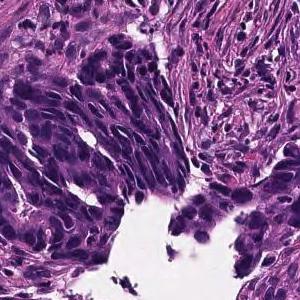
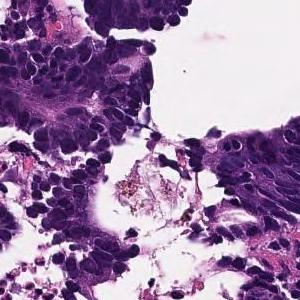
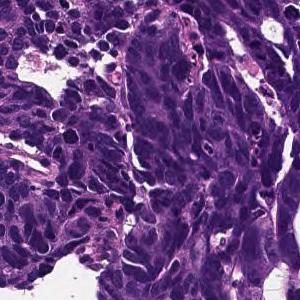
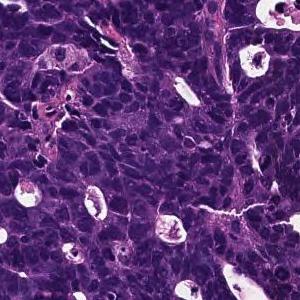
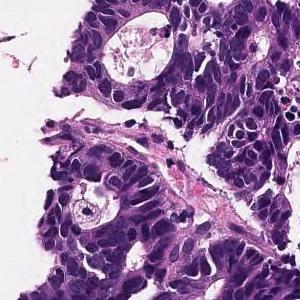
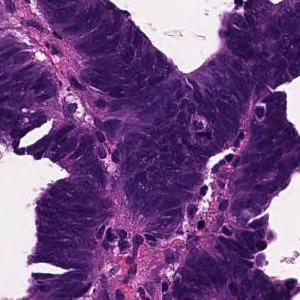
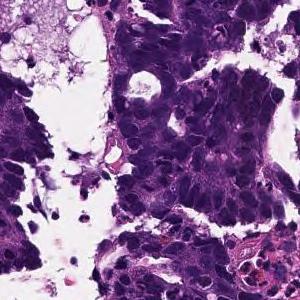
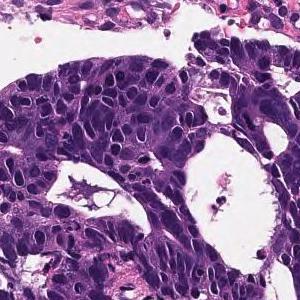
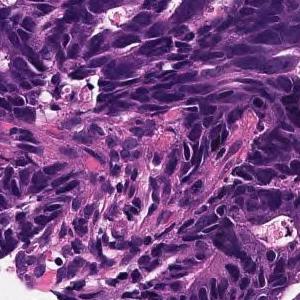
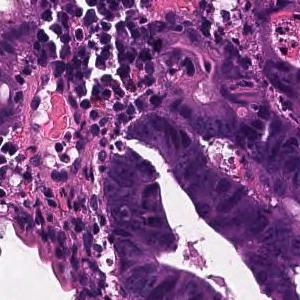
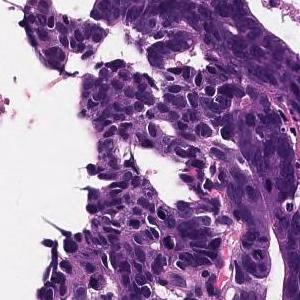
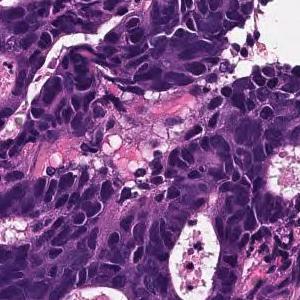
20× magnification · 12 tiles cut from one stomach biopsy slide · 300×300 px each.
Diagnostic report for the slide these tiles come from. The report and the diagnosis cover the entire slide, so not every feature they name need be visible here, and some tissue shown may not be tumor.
In the superficial epithelium, tumor tissue that invades by forming medium-sized to small, irregular ducts is observed. moderately differentiated tubular adenocarcinoma.
